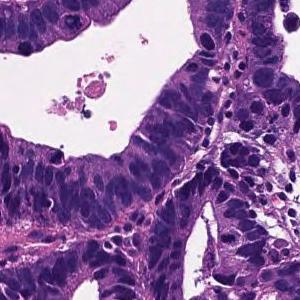
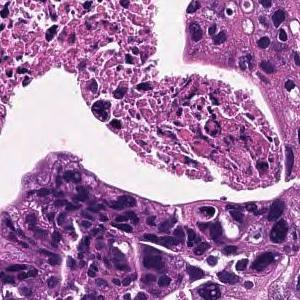
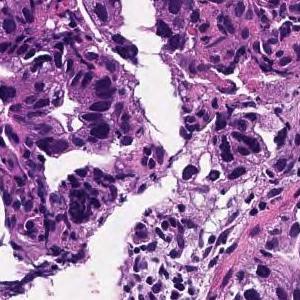
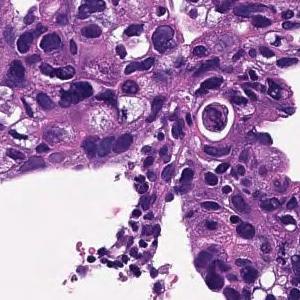
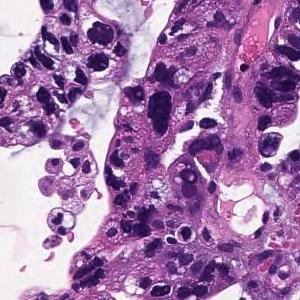
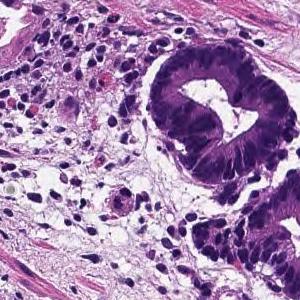
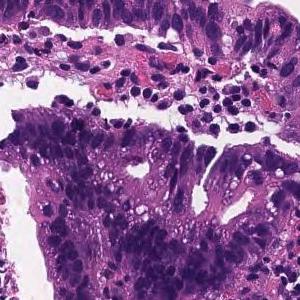
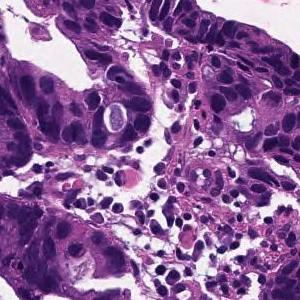
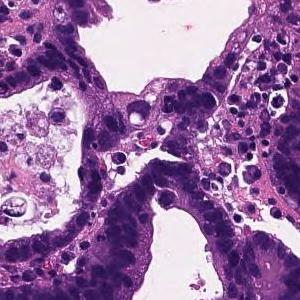
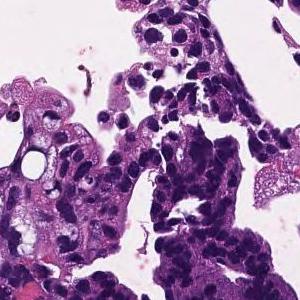
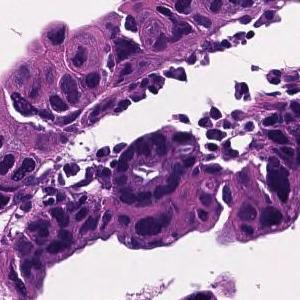
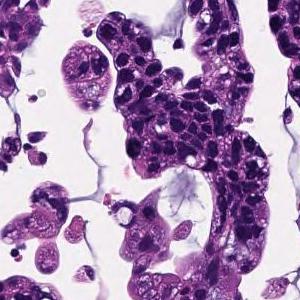
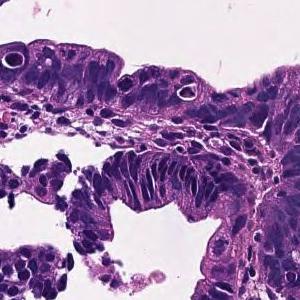
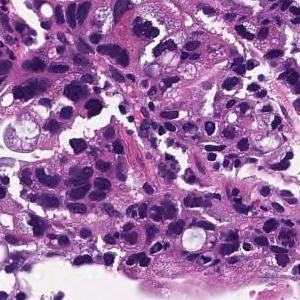
14 tiles cut from one stomach biopsy slide · each 300 × 300 pixels · H&E.
The pathologist's report on the biopsy slide these tiles were taken from. The report and the diagnosis describe the slide as a whole, so these tiles may not show every feature named and may include non-tumor tissue.
In the superficial epithelium, tumor tissue that invades by forming medium-sized to small, irregular ducts is observed. moderately differentiated tubular adenocarcinoma.
